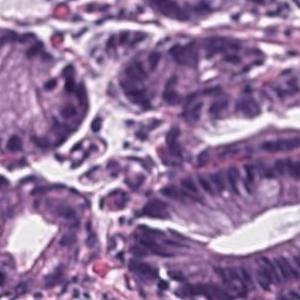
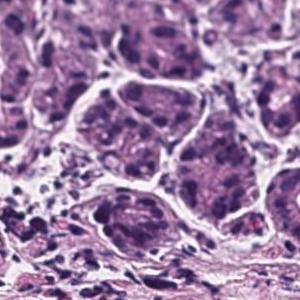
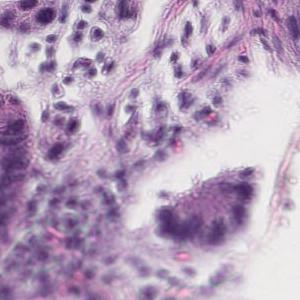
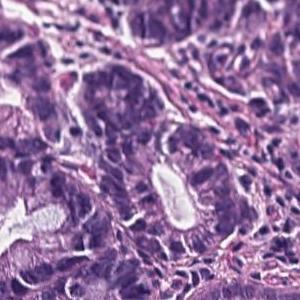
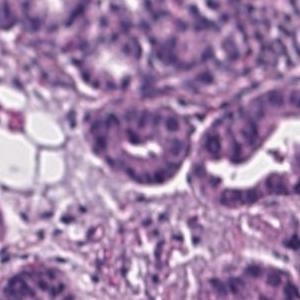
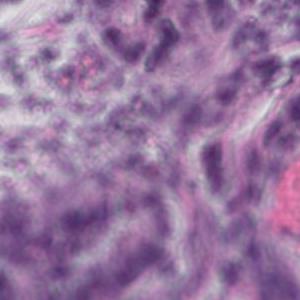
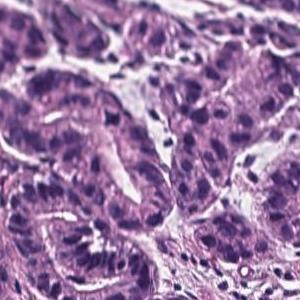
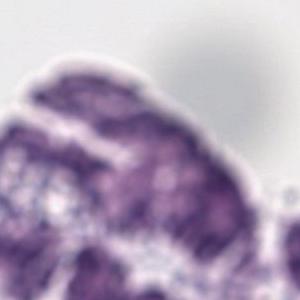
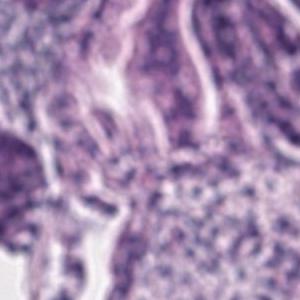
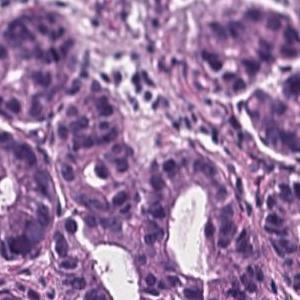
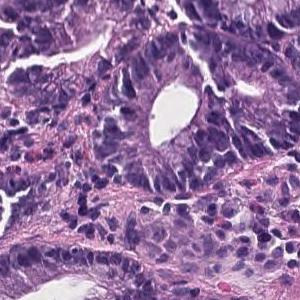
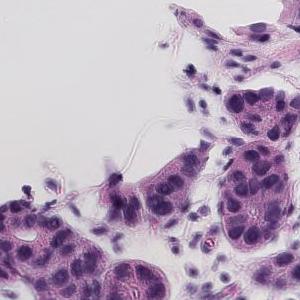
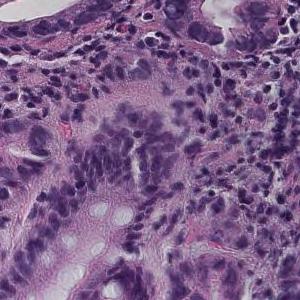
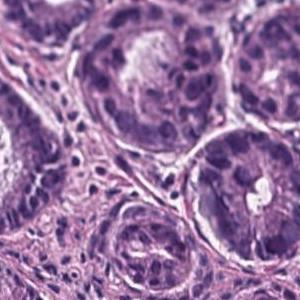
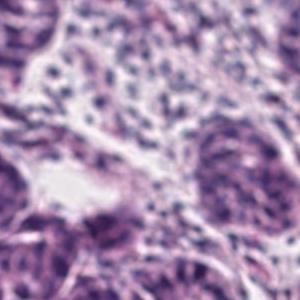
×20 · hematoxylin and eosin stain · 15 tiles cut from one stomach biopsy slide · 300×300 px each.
Pathology report for the biopsy slide these tiles were cut from. What the report and the diagnosis say applies to the whole slide; these tiles may miss some of the features named and may include tissue that is not tumor.
On the superficial epithelium, tumor tissue consisting of medium to small irregular tubules partially fused and proliferated is observed. Well differentiated tubular adenocarcinoma
